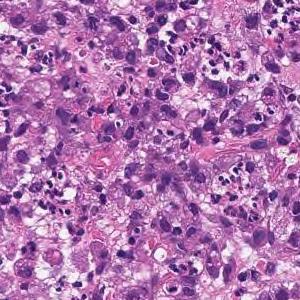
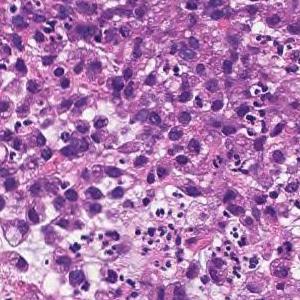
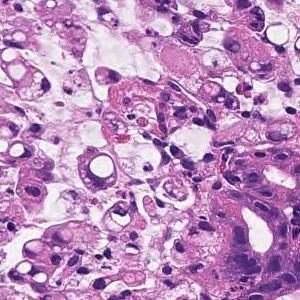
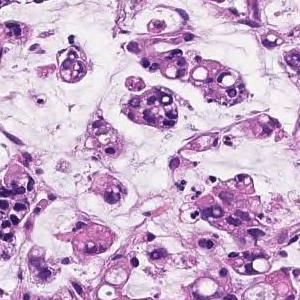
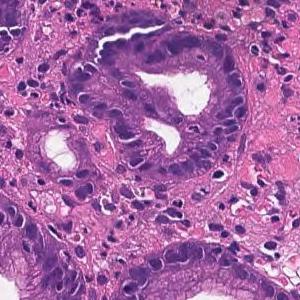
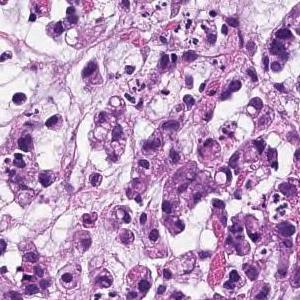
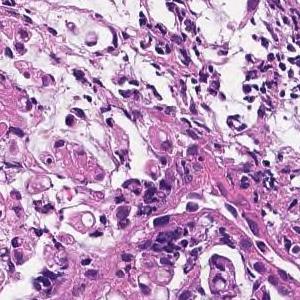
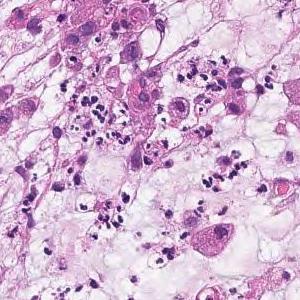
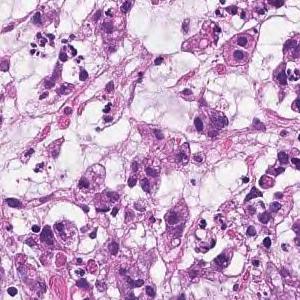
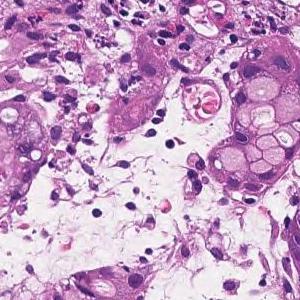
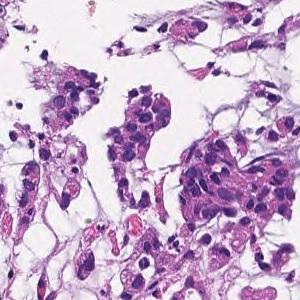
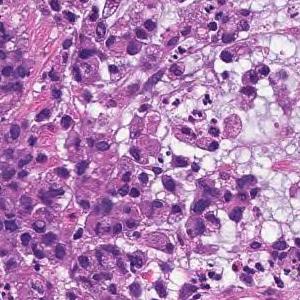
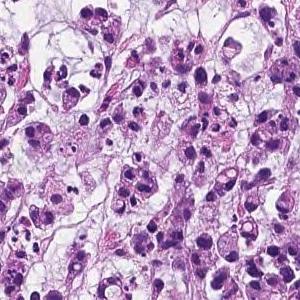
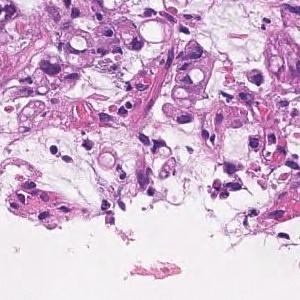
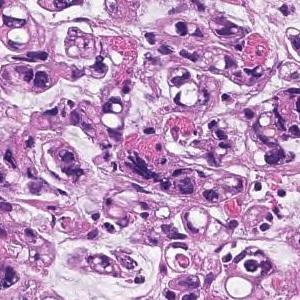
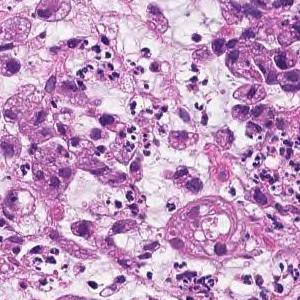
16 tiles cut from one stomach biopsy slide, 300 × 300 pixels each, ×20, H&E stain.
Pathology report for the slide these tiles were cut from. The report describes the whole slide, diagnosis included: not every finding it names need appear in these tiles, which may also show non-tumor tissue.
Tumor tissue consisting of cord-like or small, irregular glandular ducts fused and infiltrated is observed in the superficial epithelium. Poorly differentiated adenocarcinoma, non-solid type
"Non-solid type" is a category of the Japanese Classification of Gastric Carcinoma.
